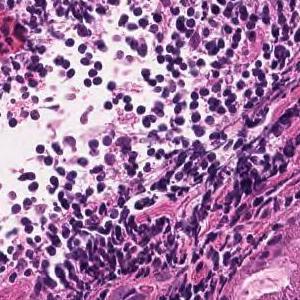
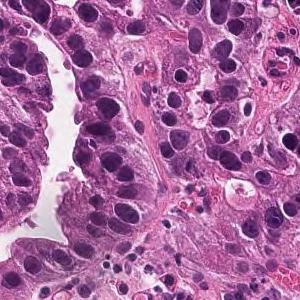
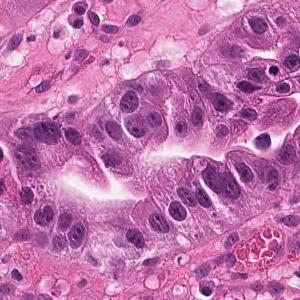
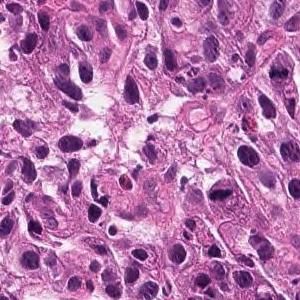
Scanned at ×20, 4 tiles cut from one stomach biopsy slide, each 300 × 300 pixels.
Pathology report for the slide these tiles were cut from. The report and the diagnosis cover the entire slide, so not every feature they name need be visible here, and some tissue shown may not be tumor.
Tumor tissue consisting of medium-sized, cord-like or irregular glandular infiltration is observed in the superficial epithelium. Poorly differentiated adenocarcinoma, non-solid type or moderately differentiated tubular adenocarcinoma
Tumor subtype: moderately to poorly differentiated adenocarcinoma.
The non-solid type named here is a Japanese Classification of Gastric Carcinoma category.
